13 image tiles from a single gastric biopsy slide; each 300 × 300 pixels; ×20; hematoxylin and eosin stain.
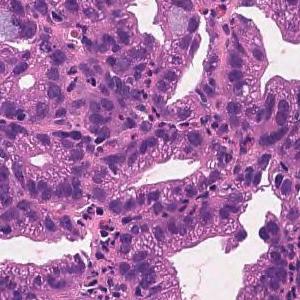
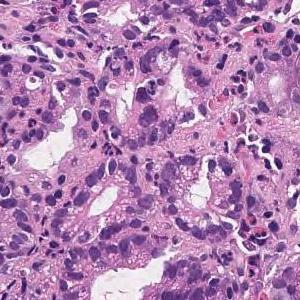
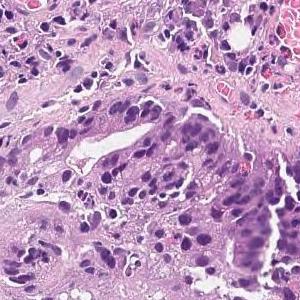
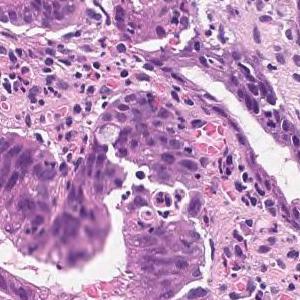
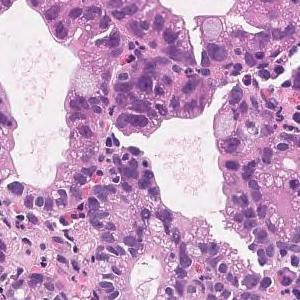
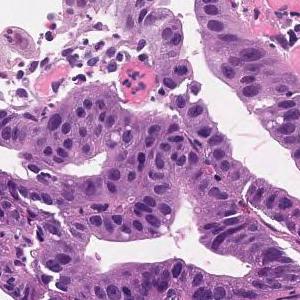
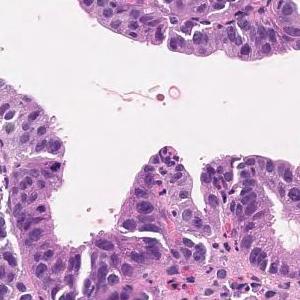
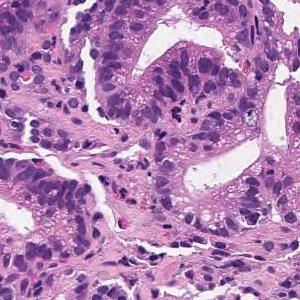
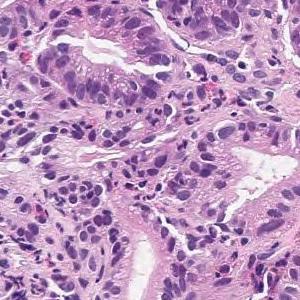
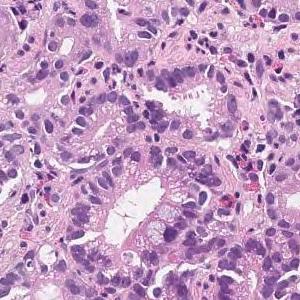
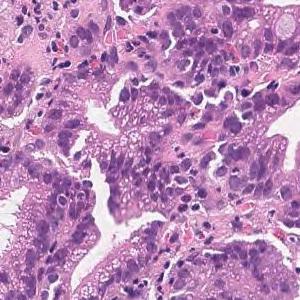
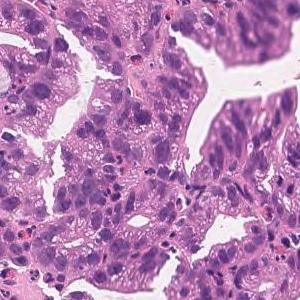
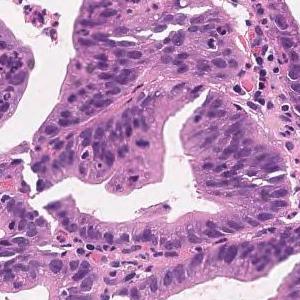
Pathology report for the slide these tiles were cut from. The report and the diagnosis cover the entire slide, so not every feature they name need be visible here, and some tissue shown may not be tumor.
On the superficial epithelium, tumor tissue that infiltrates by forming medium-sized papillary or small irregular ducts is observed. Papillary adenocarcinoma
